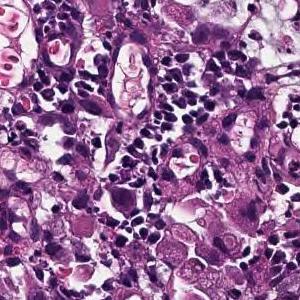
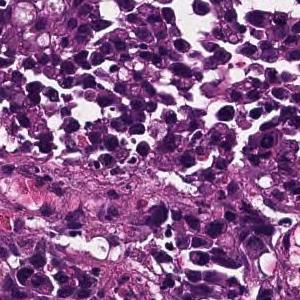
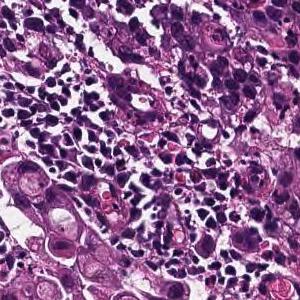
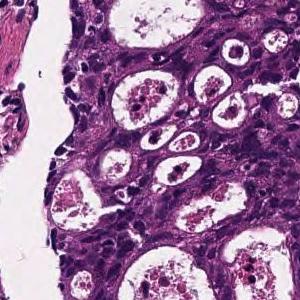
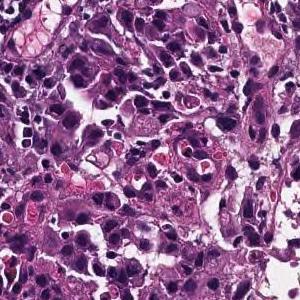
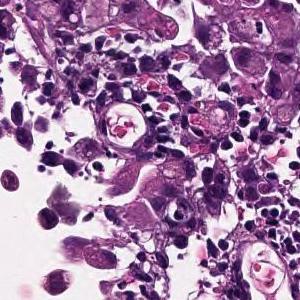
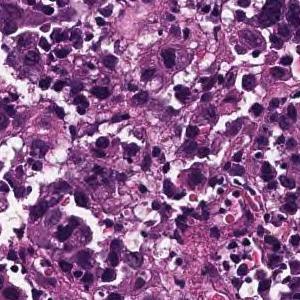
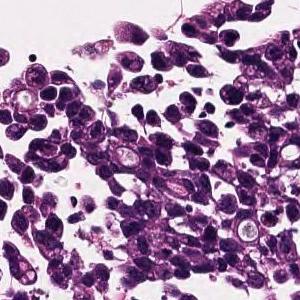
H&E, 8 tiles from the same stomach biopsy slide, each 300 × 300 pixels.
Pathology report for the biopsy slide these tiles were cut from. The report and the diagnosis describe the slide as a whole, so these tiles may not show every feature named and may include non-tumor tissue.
The superficial epithelium shows a large sheet-like shape, and some tumor tissue infiltrates with small irregular ducts. Poorly differentiated adenocarcinoma, solid-type
Classified as poorly differentiated adenocarcinoma, solid type, a category of the Japanese Classification of Gastric Carcinoma; in the WHO 2019 classification it is tubular adenocarcinoma, poorly differentiated.
